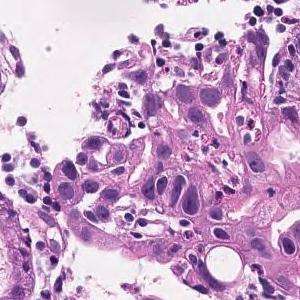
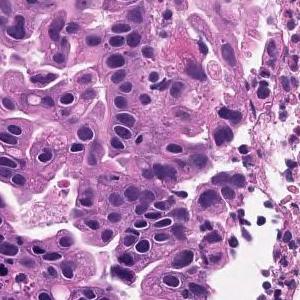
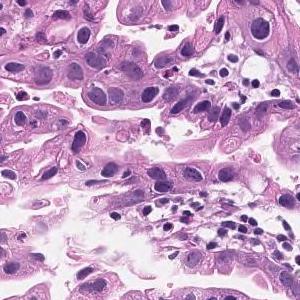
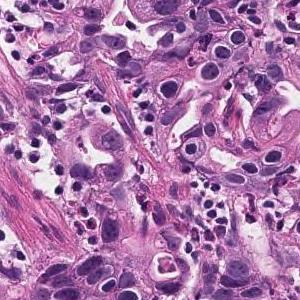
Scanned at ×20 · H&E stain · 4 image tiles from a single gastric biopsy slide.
Pathology report for the biopsy slide these tiles were cut from. The findings and the diagnosis refer to the entire slide; these tiles show only part of it, possibly with non-tumor tissue, and may not show every feature named.
In the superficial epithelium, tumor tissue that invades by forming medium-sized to small, irregular ducts is observed. moderately differentiated tubular adenocarcinoma.
